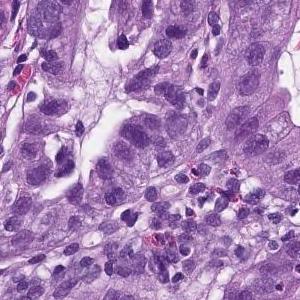
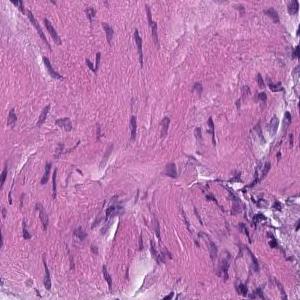
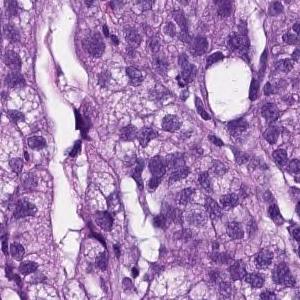
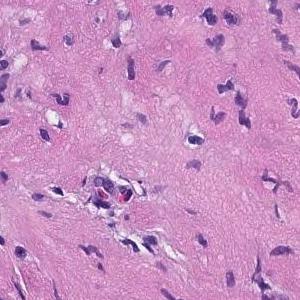
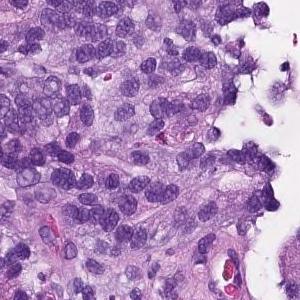
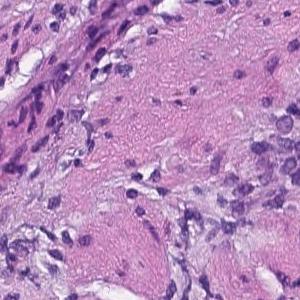
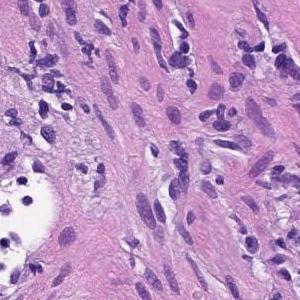
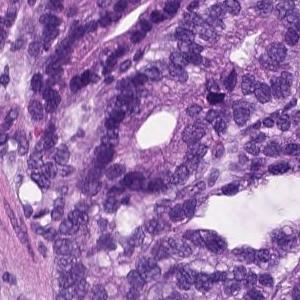
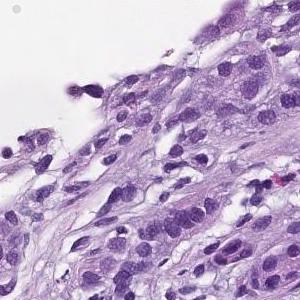
9 tiles cut from one stomach biopsy slide, 300×300 px each, scanned at ×20, H&E.
Pathology report for the biopsy slide these tiles were cut from. Both the report and the diagnosis are for the whole slide: these tiles need not show every feature named, and some of the tissue shown may not be tumor.
From the superficial epithelium to the muscularis mucosae, tumor tissue consisting of medium-sized and irregular glandular ducts infiltrating is observed. Well differentiated tubular adenocarcinoma
